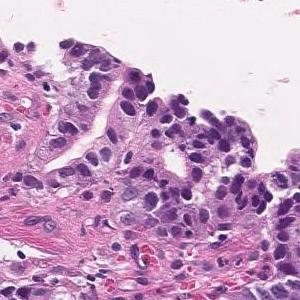
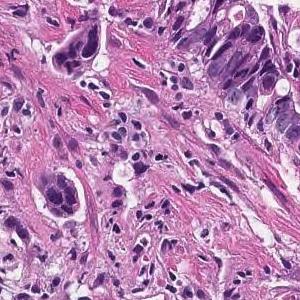
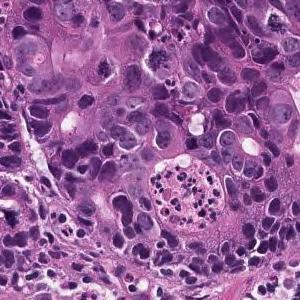
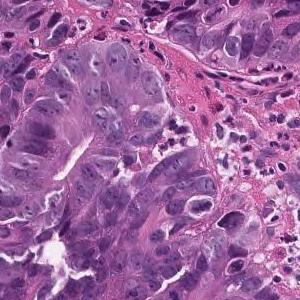
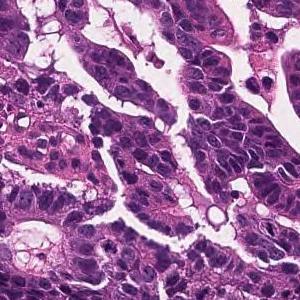
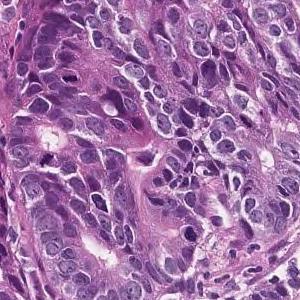
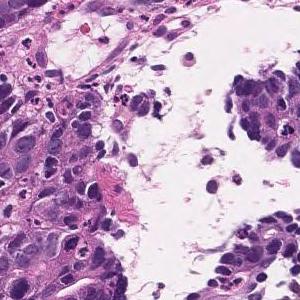
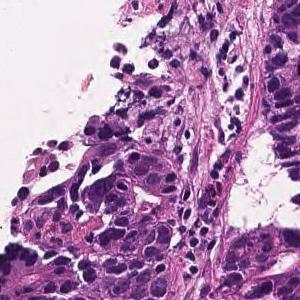
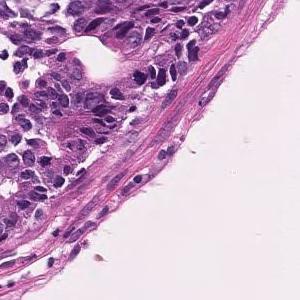
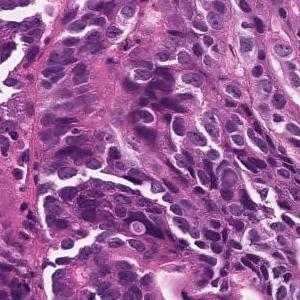
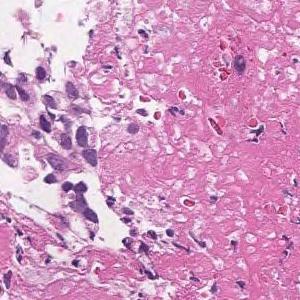
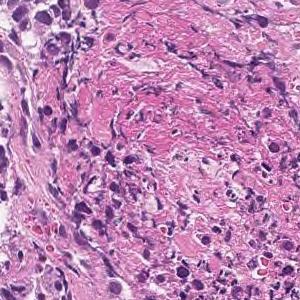
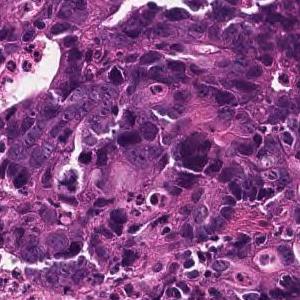
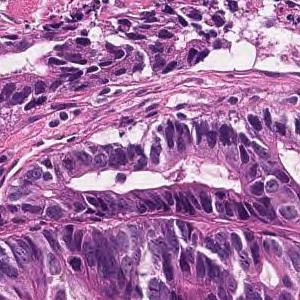
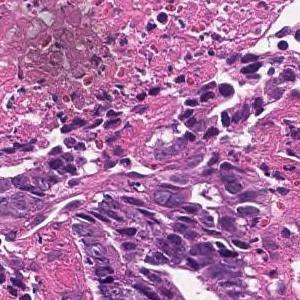
15 tiles from the same stomach biopsy slide · H&E.
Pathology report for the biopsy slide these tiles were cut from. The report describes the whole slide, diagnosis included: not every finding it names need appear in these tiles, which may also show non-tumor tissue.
In the superficial epithelium, tumor tissue that invades by forming medium-sized to small, irregular ducts is observed. moderately differentiated tubular adenocarcinoma.
